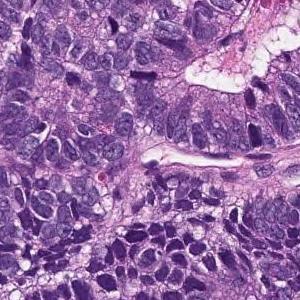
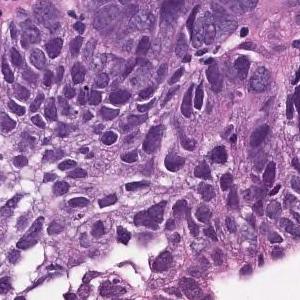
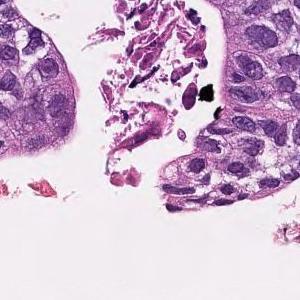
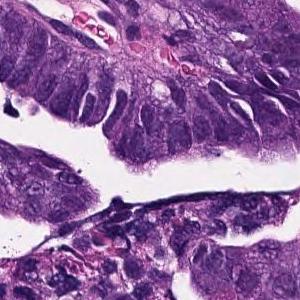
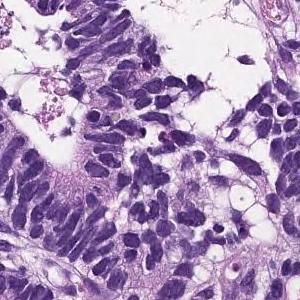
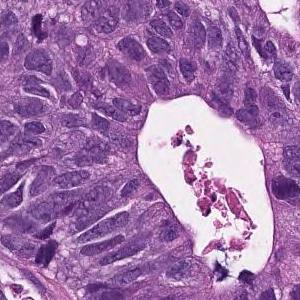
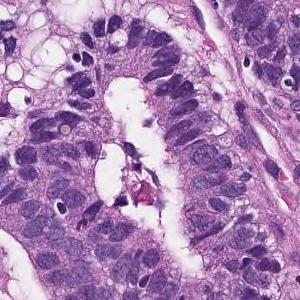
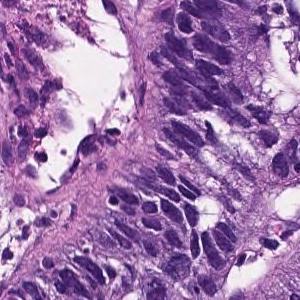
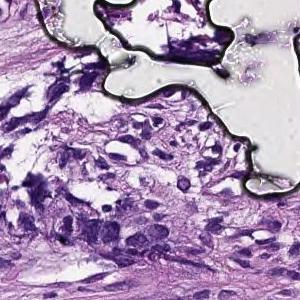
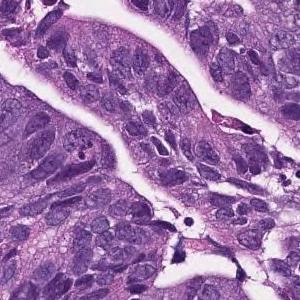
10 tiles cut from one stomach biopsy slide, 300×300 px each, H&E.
Report on the slide these tiles come from. The findings and the diagnosis refer to the entire slide; these tiles show only part of it, possibly with non-tumor tissue, and may not show every feature named.
In the superficial epithelium, tumor tissue that invades by forming medium-sized to small, irregular ducts is observed. moderately differentiated tubular adenocarcinoma.
